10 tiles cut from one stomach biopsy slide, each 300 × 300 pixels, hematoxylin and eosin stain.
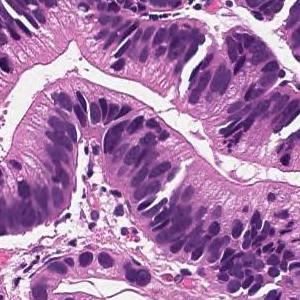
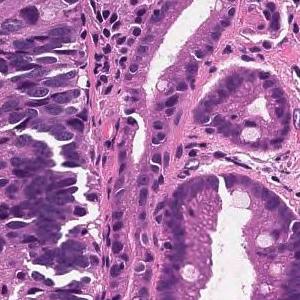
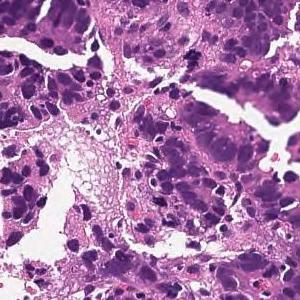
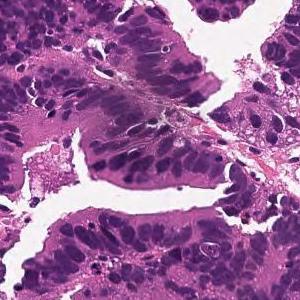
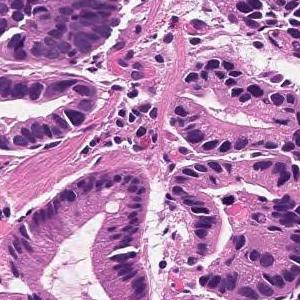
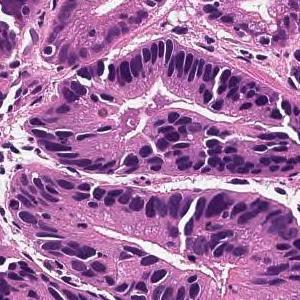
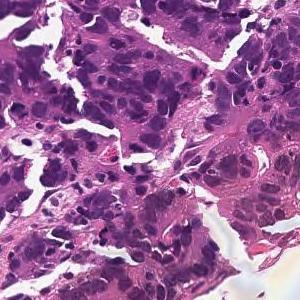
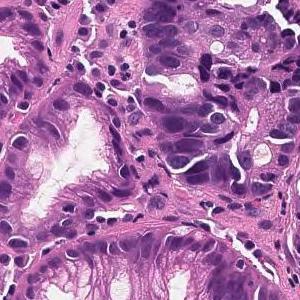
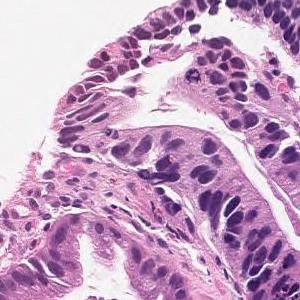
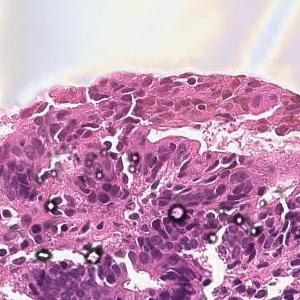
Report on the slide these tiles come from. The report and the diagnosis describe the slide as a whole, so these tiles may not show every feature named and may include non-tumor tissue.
Tumor cells are large, highly columnar, large club-shaped nuclei, and are associated with chromatin aggregation. Papillary adenocarcinoma.
